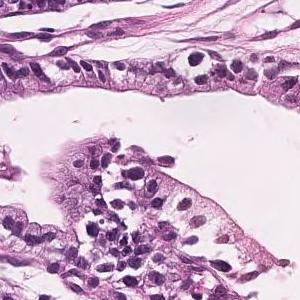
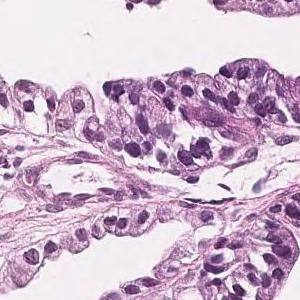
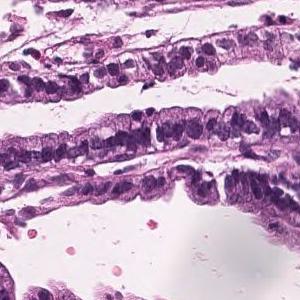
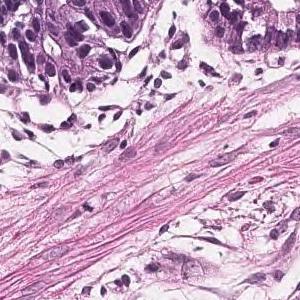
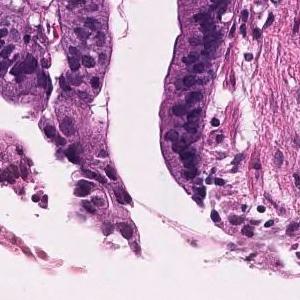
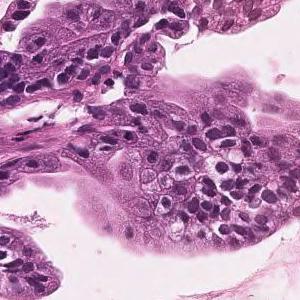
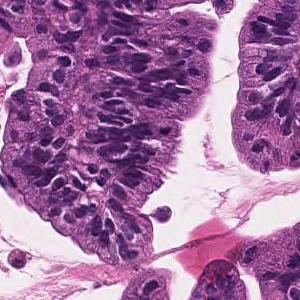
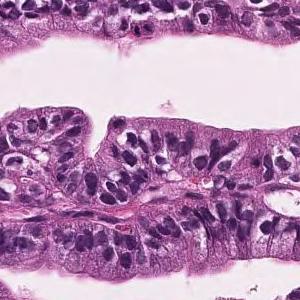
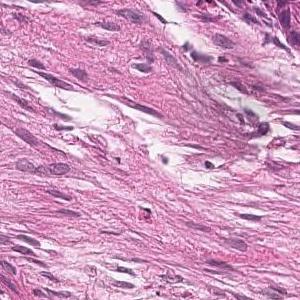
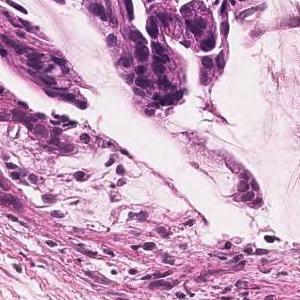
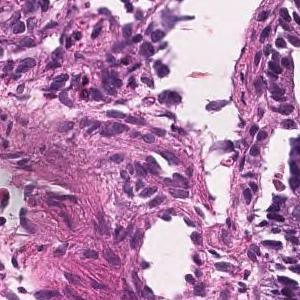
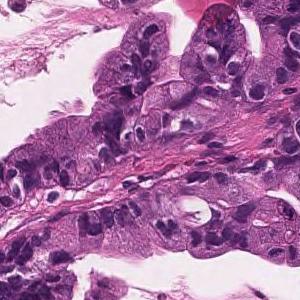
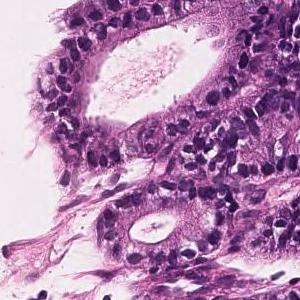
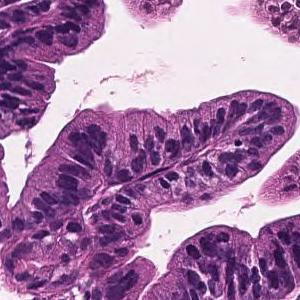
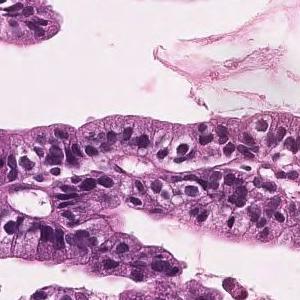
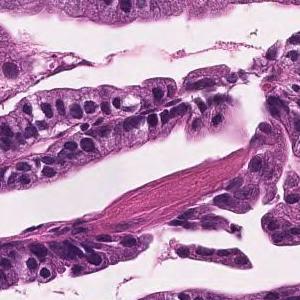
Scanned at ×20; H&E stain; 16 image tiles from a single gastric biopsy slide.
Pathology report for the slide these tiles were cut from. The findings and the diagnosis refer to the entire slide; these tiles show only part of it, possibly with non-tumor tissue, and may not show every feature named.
Tumor cells are large, highly columnar, large club-shaped nuclei, and are associated with chromatin aggregation. Papillary adenocarcinoma.
